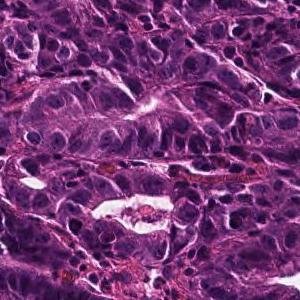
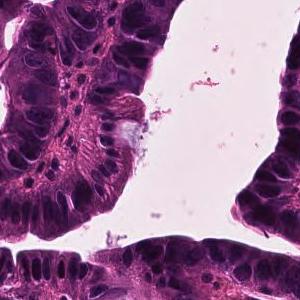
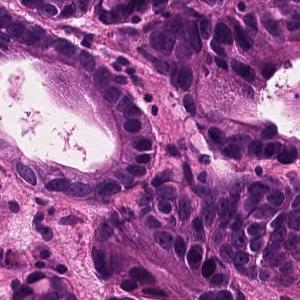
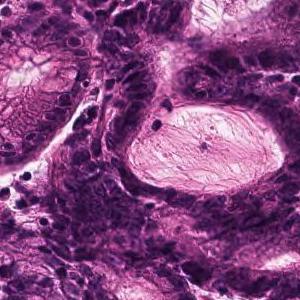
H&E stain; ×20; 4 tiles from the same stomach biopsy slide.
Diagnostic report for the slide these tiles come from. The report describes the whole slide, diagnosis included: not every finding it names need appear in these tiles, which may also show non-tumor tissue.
In the superficial epithelium, tumor tissue that invades by forming medium-sized to small, irregular ducts is observed. Well differentiated tubular adenocarcinoma.
